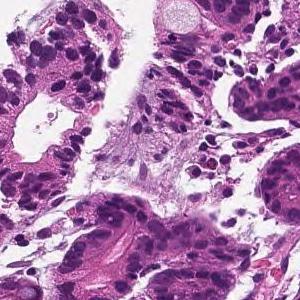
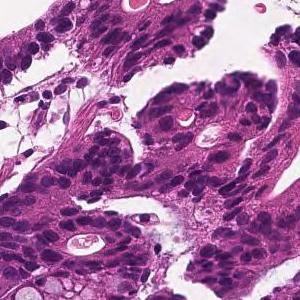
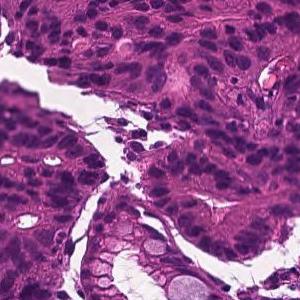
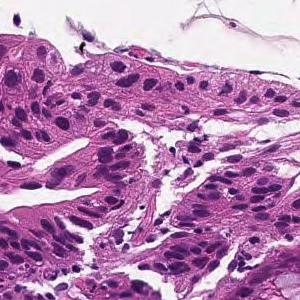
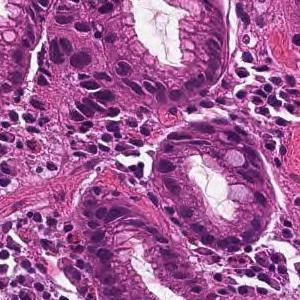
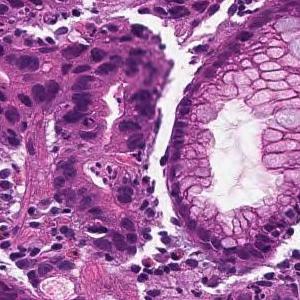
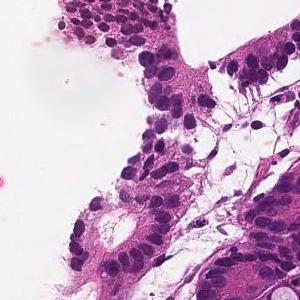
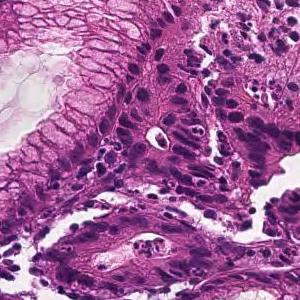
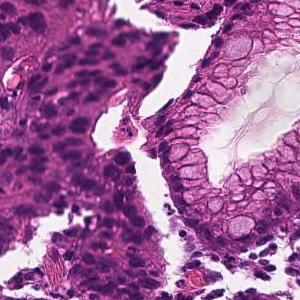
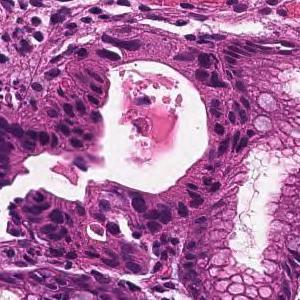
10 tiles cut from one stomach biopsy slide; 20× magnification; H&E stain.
Report on the slide these tiles come from. The report and the diagnosis describe the slide as a whole, so these tiles may not show every feature named and may include non-tumor tissue.
In the superficial epithelium, tumor tissue that invades by forming medium-sized to small, irregular ducts is observed. moderately differentiated tubular adenocarcinoma.
